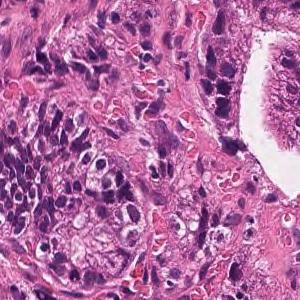
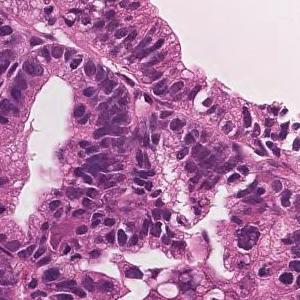
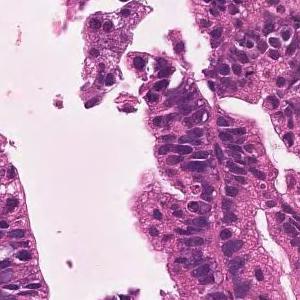
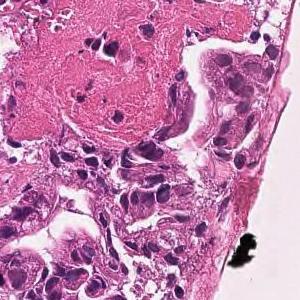
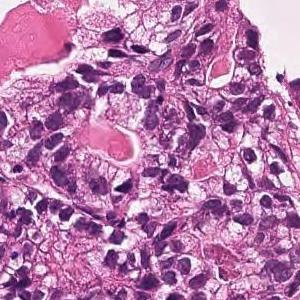
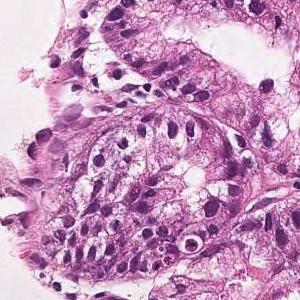
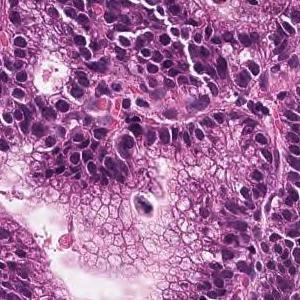
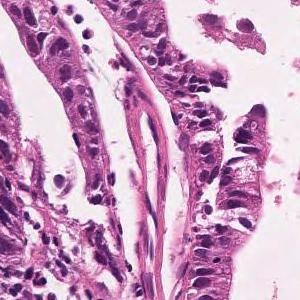
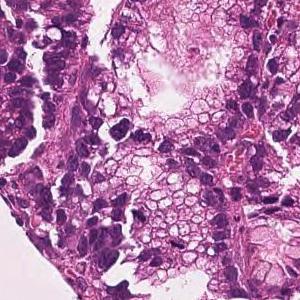
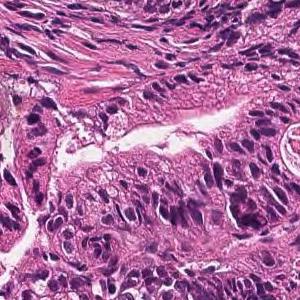
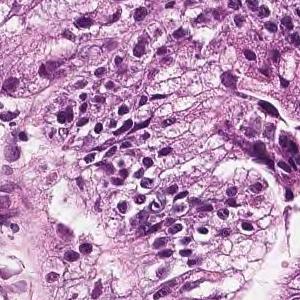
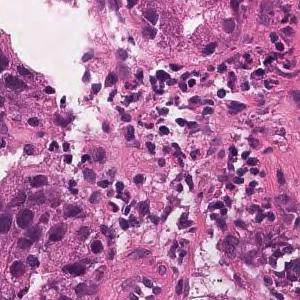
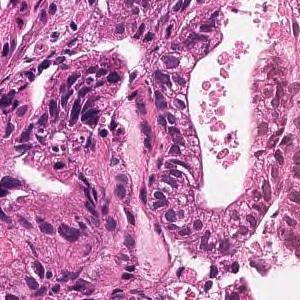
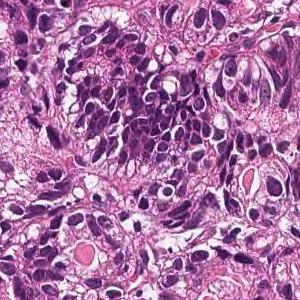
×20 · 14 patches cut from one gastric biopsy slide.
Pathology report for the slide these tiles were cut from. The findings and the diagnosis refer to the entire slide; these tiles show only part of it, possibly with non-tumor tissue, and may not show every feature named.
On the superficial epithelium, tumor tissue consisting of large, irregular glandular ducts partially fused and infiltrated is observed. Well to moderately differentiated tubular adenocarcinoma (well differentiated tubular adenocarcinoma, moderately differentiated tubular adenocarcinoma)
Tumor subtype: well to moderately differentiated tubular adenocarcinoma.
